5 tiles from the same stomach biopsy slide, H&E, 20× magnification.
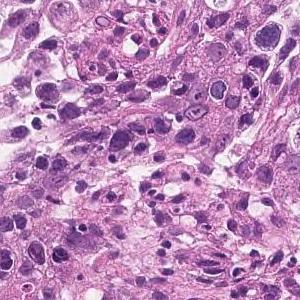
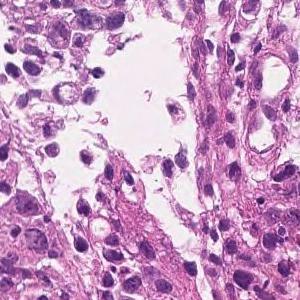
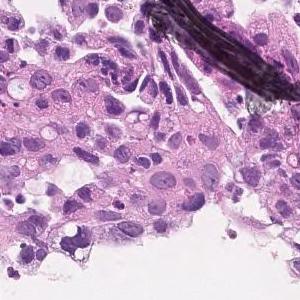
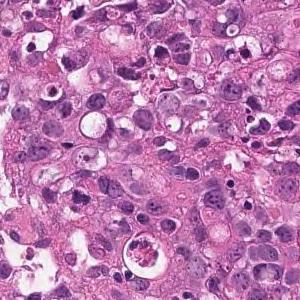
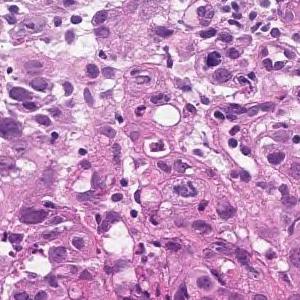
The pathologist's report on the biopsy slide these tiles were taken from. Both the report and the diagnosis are for the whole slide: these tiles need not show every feature named, and some of the tissue shown may not be tumor.
The superficial epithelium shows a large sheet-like shape, and some tumor tissue infiltrates with small irregular ducts. Poorly differentiated adenocarcinoma, solid-type
Subtype: Poorly differentiated adenocarcinoma, solid type (Japanese Classification of Gastric Carcinoma). The WHO 2019 equivalent is tubular adenocarcinoma, poorly differentiated.
